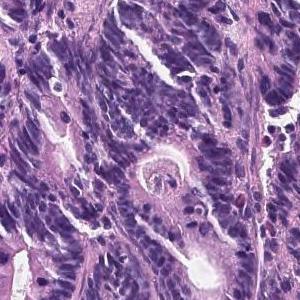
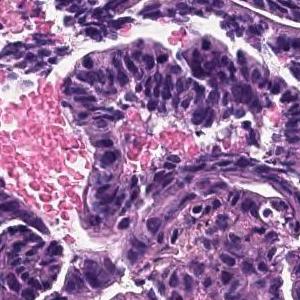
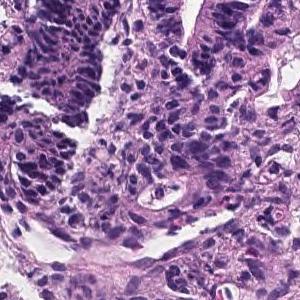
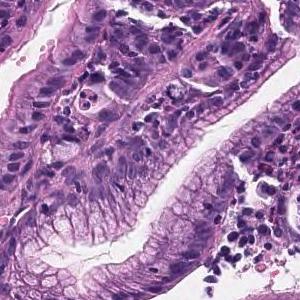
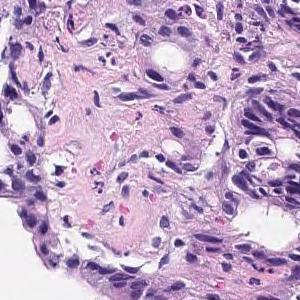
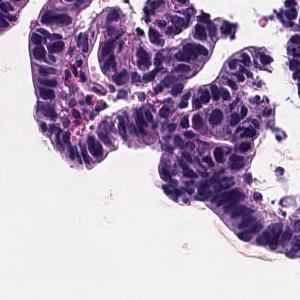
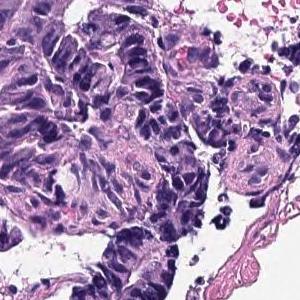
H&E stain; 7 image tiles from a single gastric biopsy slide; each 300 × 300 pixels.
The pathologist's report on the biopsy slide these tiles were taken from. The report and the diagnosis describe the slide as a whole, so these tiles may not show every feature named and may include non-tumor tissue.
In the superficial epithelium, tumor tissue that invades by forming medium-sized to small, irregular ducts is observed. Moderately differentiated adenocarcinoma.
Classified as moderately differentiated tubular adenocarcinoma.
